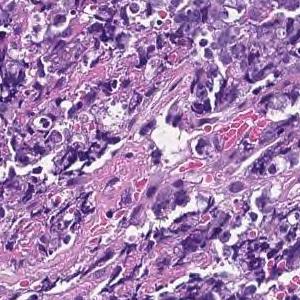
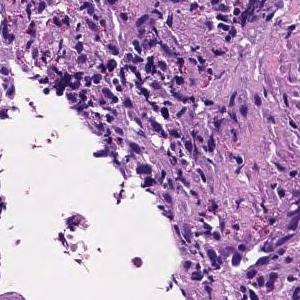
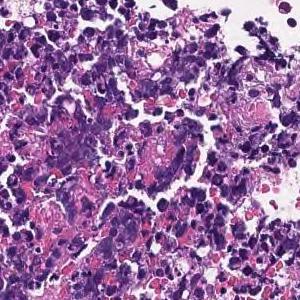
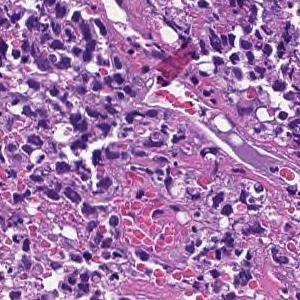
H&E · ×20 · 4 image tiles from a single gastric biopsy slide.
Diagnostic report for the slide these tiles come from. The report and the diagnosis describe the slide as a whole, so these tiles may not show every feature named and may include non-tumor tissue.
Most are composed of coagulative necrotic tissue, but some show a large sheet-like shape, and some show tumor tissue infiltrating with a small cord-like structure. Poorly differentiated adenocarcinoma, solid-type
Histological subtype: Poorly differentiated adenocarcinoma, solid type. This name comes from the Japanese Classification of Gastric Carcinoma; the WHO 2019 classification calls it tubular adenocarcinoma, poorly differentiated.
